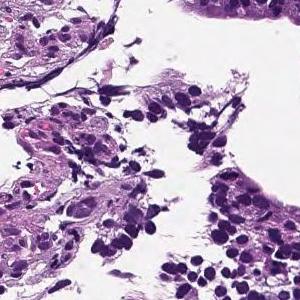
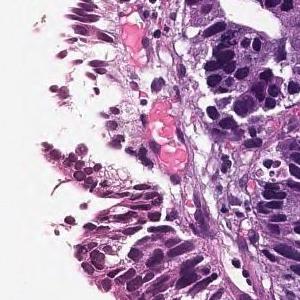
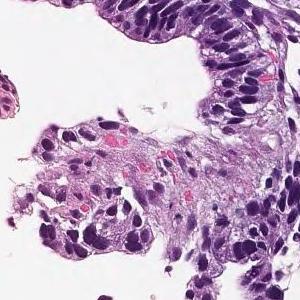
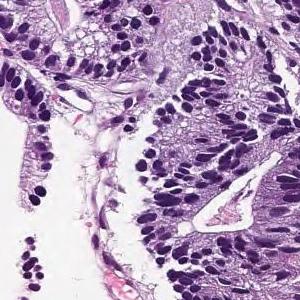
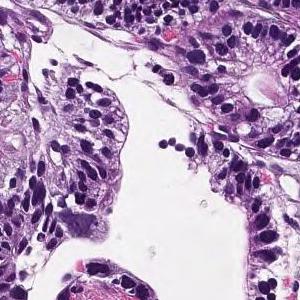
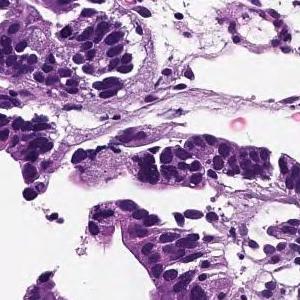
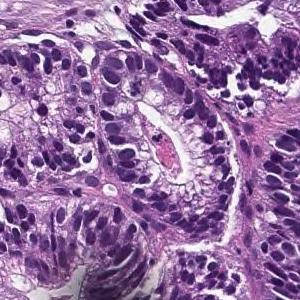
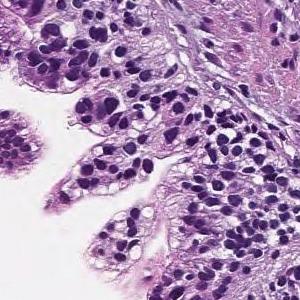
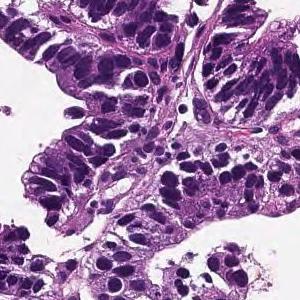
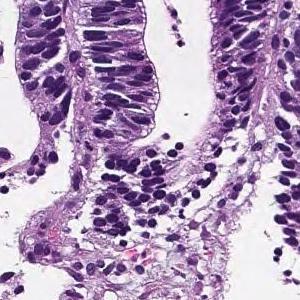
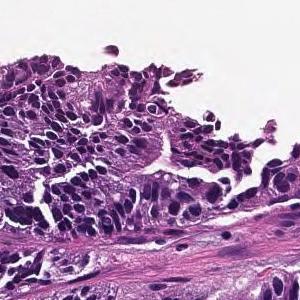
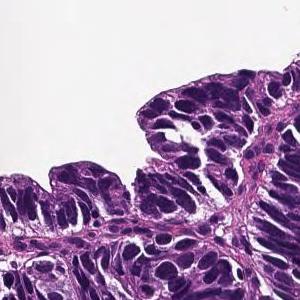
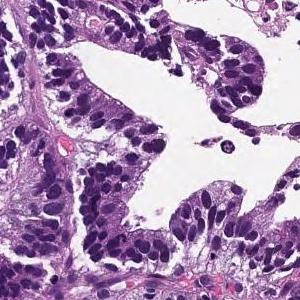
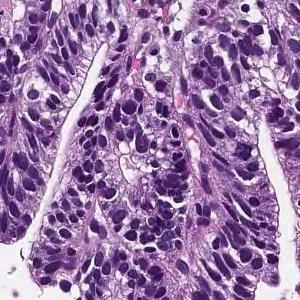
14 tiles from the same stomach biopsy slide; 300×300 px each; ×20; H&E stain.
The pathologist's report on the biopsy slide these tiles were taken from. The report describes the whole slide, diagnosis included: not every finding it names need appear in these tiles, which may also show non-tumor tissue.
Tumor cells are large, highly columnar, large club-shaped nuclei, and are associated with chromatin aggregation. Papillary adenocarcinoma.
